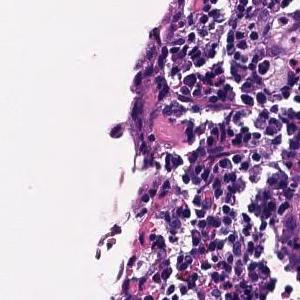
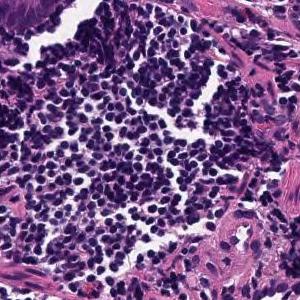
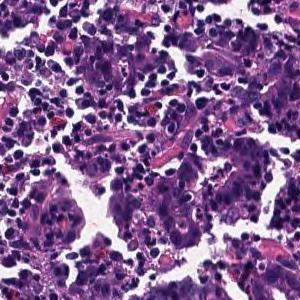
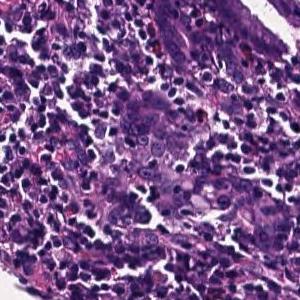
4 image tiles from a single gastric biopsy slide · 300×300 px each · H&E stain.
Report on the slide these tiles come from. The report describes the whole slide, diagnosis included: not every finding it names need appear in these tiles, which may also show non-tumor tissue.
Tumor tissue consisting of medium-sized, cord-like or irregular glandular infiltration is observed in the superficial epithelium. Poorly differentiated adenocarcinoma, non-solid type or moderately differentiated tubular adenocarcinoma
Histologic type: Moderately to poorly differentiated adenocarcinoma.
The term "non-solid type" comes from the Japanese Classification of Gastric Carcinoma.
